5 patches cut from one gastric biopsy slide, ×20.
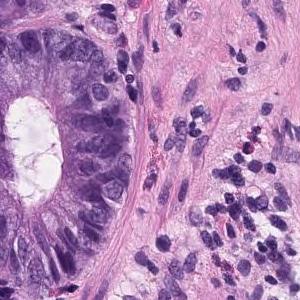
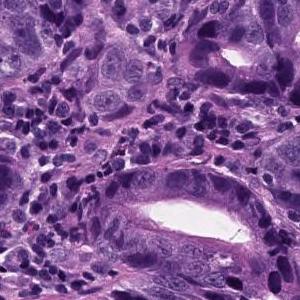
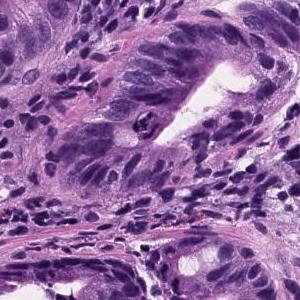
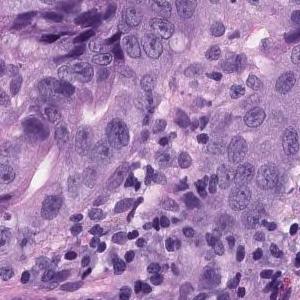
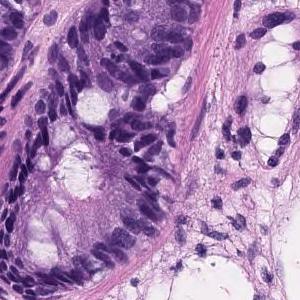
Report on the slide these tiles come from. Both the report and the diagnosis are for the whole slide: these tiles need not show every feature named, and some of the tissue shown may not be tumor.
Tumor tissue consisting of medium-sized and irregular ducts is observed infiltrating in the superficial epithelium. Tumor cells are highly columnar, with nuclei aligned basolaterally and polarized. Well differentiated tubular adenocarcinoma.
